H&E stain, 11 patches cut from one gastric biopsy slide, 300 × 300 pixels each.
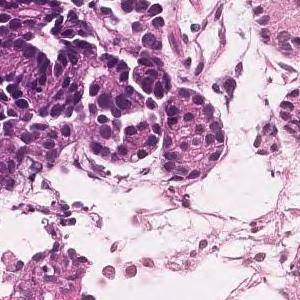
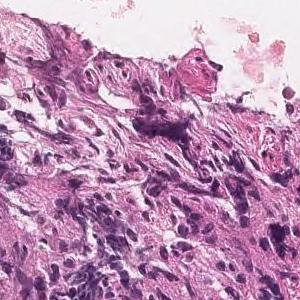
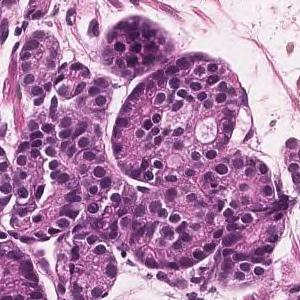
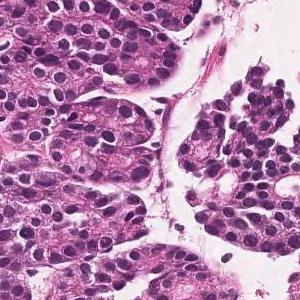
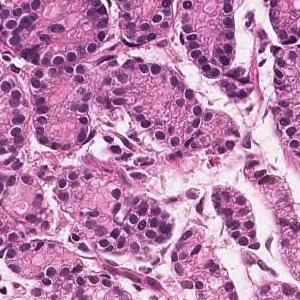
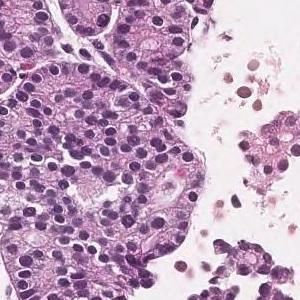
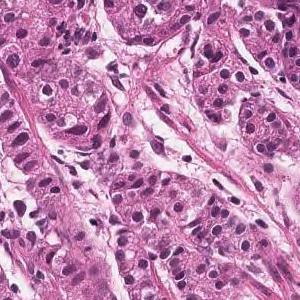
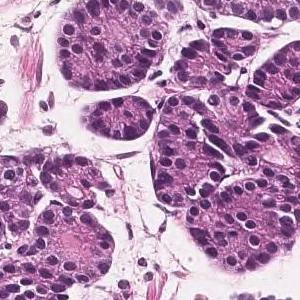
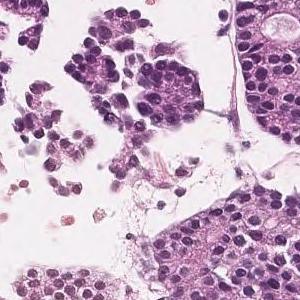
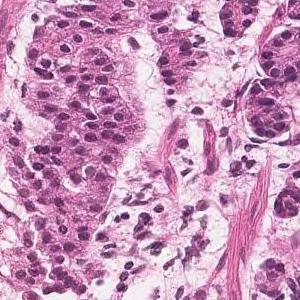
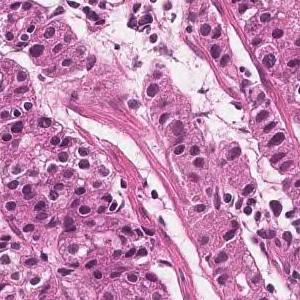
Report on the slide these tiles come from. The report describes the whole slide, diagnosis included: not every finding it names need appear in these tiles, which may also show non-tumor tissue.
In the superficial epithelium, tumor tissue that invades by forming medium-sized to small, irregular ducts is observed. Moderately differentiated adenocarcinoma.
Histologic type: Moderately differentiated tubular adenocarcinoma.
